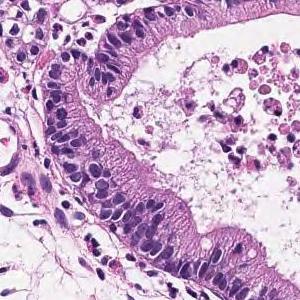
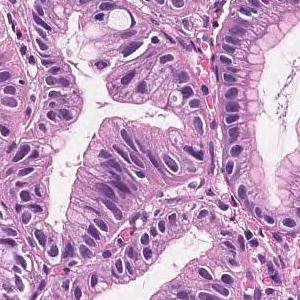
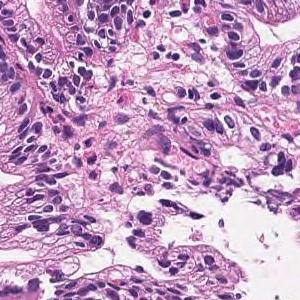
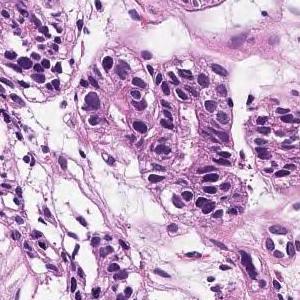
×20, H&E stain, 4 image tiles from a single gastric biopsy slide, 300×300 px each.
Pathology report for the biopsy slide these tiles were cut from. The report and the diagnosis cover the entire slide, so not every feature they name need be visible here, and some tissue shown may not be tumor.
In the superficial epithelium, tumor tissue that invades by forming medium-sized to small, irregular ducts is observed. Well differentiated tubular adenocarcinoma.
